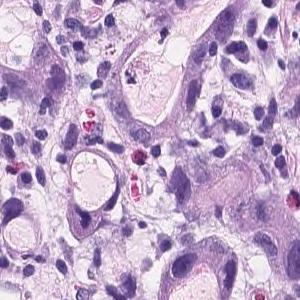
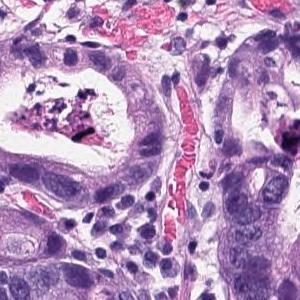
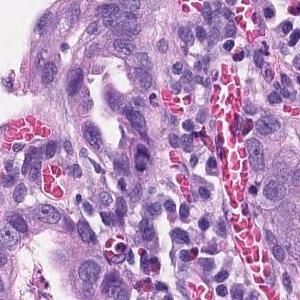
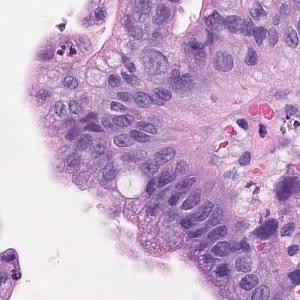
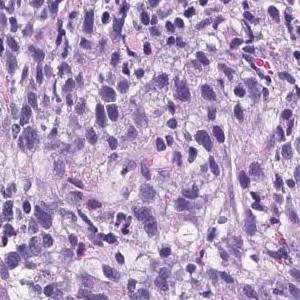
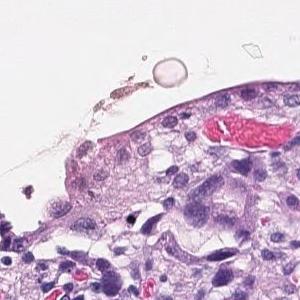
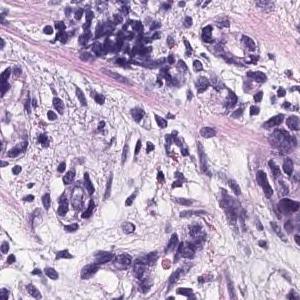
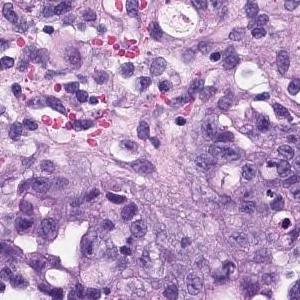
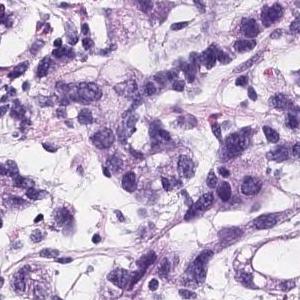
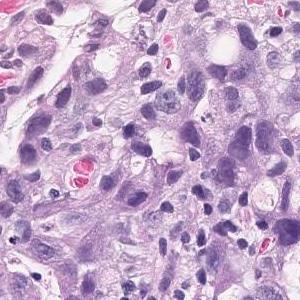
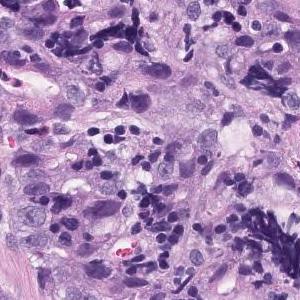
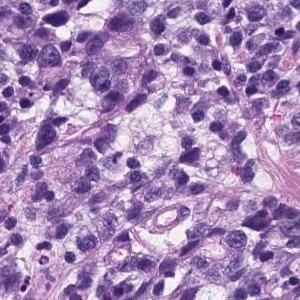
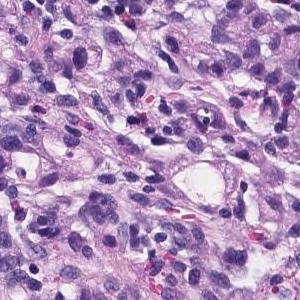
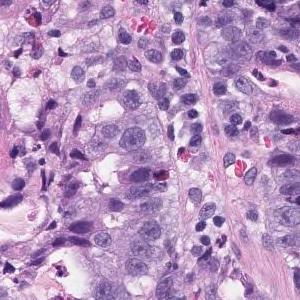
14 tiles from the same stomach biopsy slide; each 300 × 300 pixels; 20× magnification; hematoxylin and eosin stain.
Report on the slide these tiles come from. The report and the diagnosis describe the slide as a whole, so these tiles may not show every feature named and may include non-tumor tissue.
There are atypical l cells with atypical nuclei forming cord-like or irregular atypical ducts from solidity and proliferating in a comprehensive manner. Poorly differentiated adenocarcinoma, Moderately differentiated adenocarcinoma (poorly differentiated adenocarcinoma, solid type moderately differentiated tubular adenocarcinoma)
Classified as moderately to poorly differentiated adenocarcinoma.
The term "solid type" comes from the Japanese Classification of Gastric Carcinoma; the WHO 2019 equivalent is tubular adenocarcinoma, poorly differentiated.
